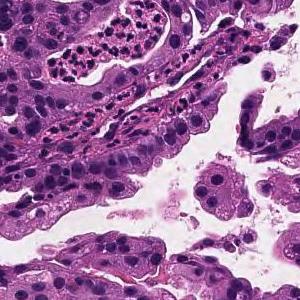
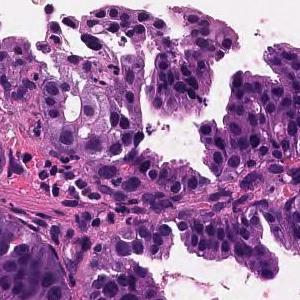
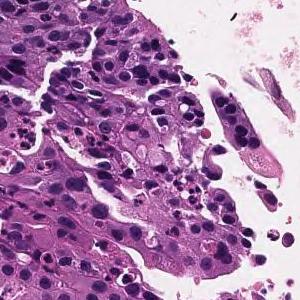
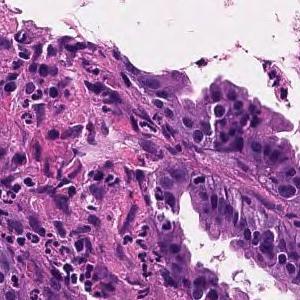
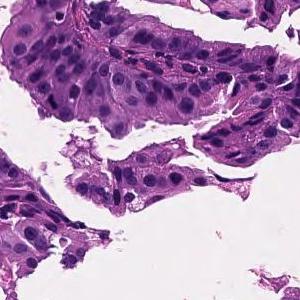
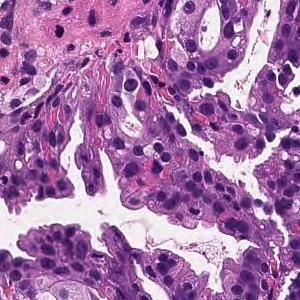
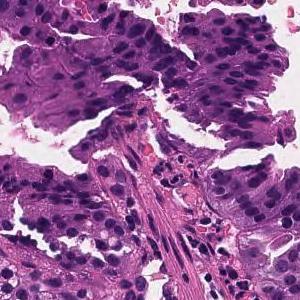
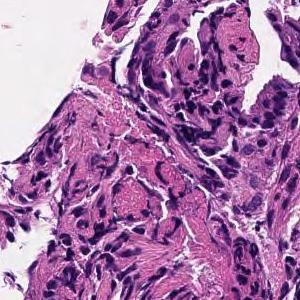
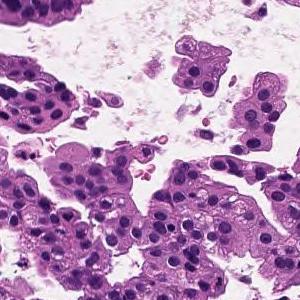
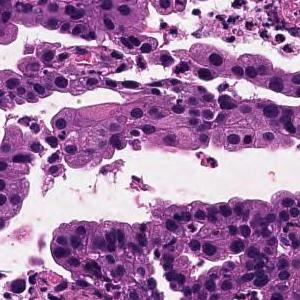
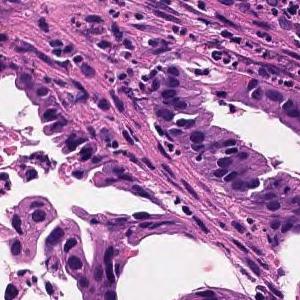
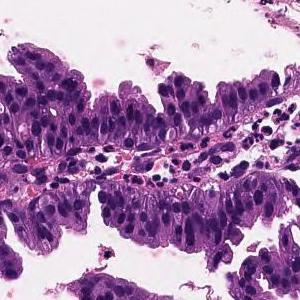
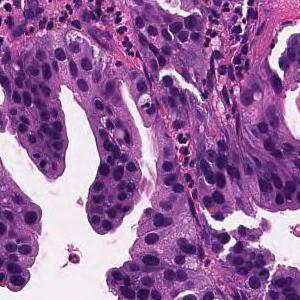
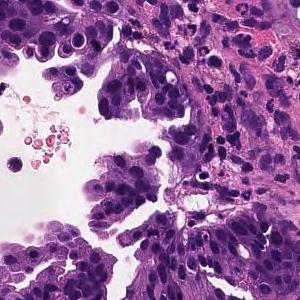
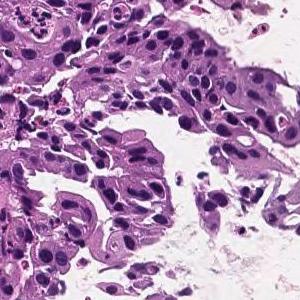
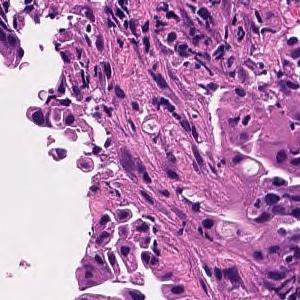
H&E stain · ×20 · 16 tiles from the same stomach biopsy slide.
The pathologist's report on the biopsy slide these tiles were taken from. The findings and the diagnosis refer to the entire slide; these tiles show only part of it, possibly with non-tumor tissue, and may not show every feature named.
On the superficial epithelium, tumor tissue consisting of large, irregular glandular ducts partially fused and infiltrated is observed. Well to moderately differentiated tubular adenocarcinoma (well differentiated tubular adenocarcinoma, moderately differentiated tubular adenocarcinoma)
Classified as well to moderately differentiated tubular adenocarcinoma.
